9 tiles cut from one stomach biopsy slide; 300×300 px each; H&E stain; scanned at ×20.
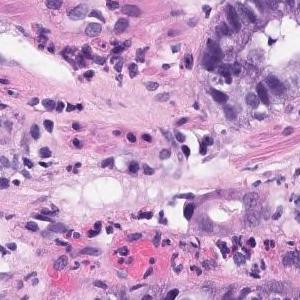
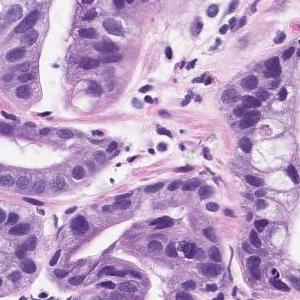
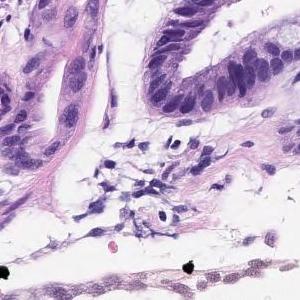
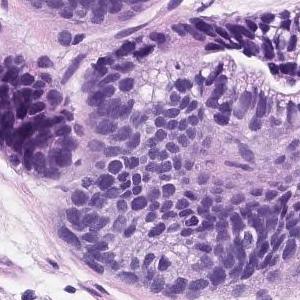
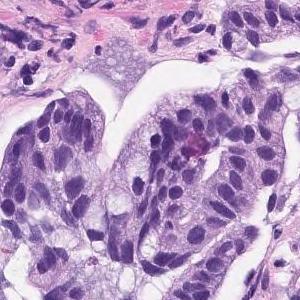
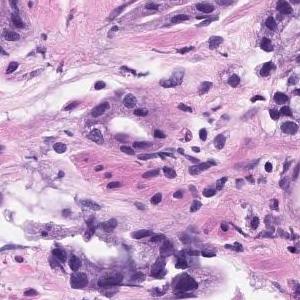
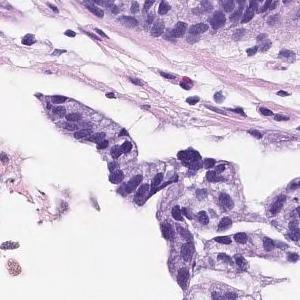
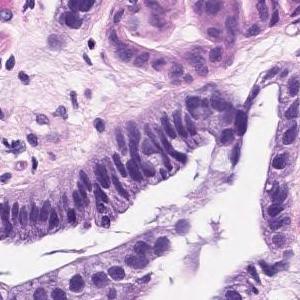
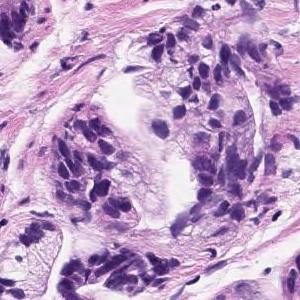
Report on the slide these tiles come from. What the report and the diagnosis say applies to the whole slide; these tiles may miss some of the features named and may include tissue that is not tumor.
The superficial tumors shows large papillary structures or large and small ducts and infiltrates. Papillary adenocarcinoma.
